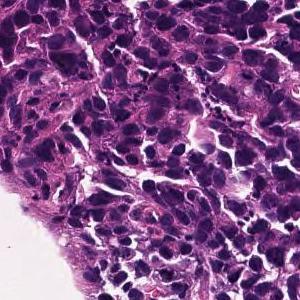
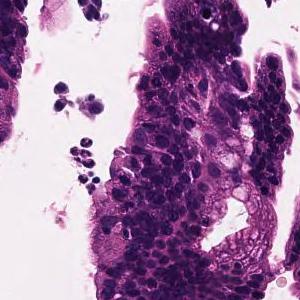
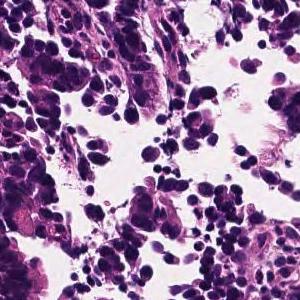
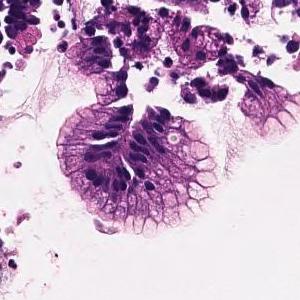
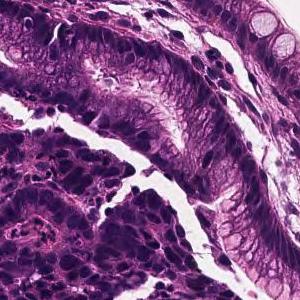
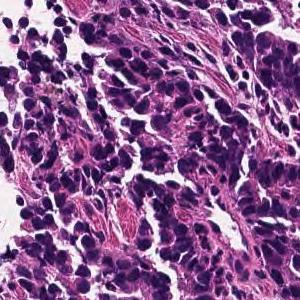
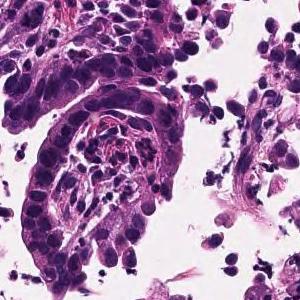
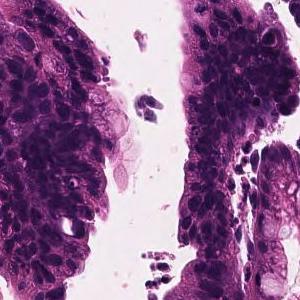
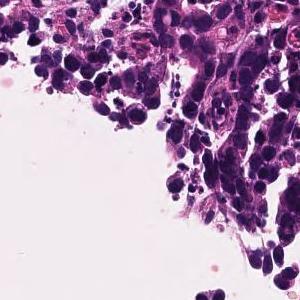
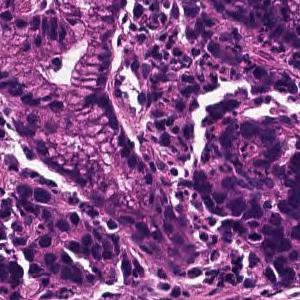
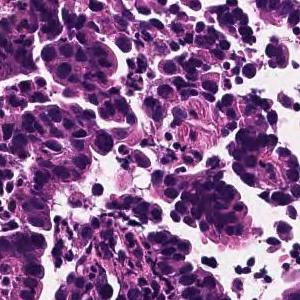
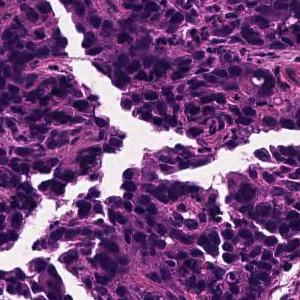
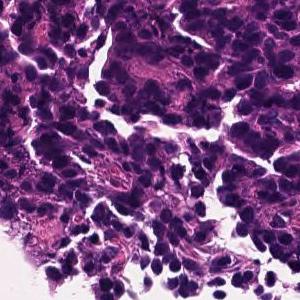
13 image tiles from a single gastric biopsy slide · scanned at ×20 · H&E.
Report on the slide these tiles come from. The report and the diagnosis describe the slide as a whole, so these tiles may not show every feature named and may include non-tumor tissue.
Medium to small, irregular glandular ducts are formed in the superficial epithelium, and in some cases, the glandular ducts are fused to show solid alveolar lesions and infiltrating tumor tissue is observed. Moderately to poorly differentiated adenocarcinoma.
